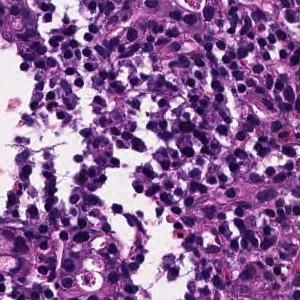
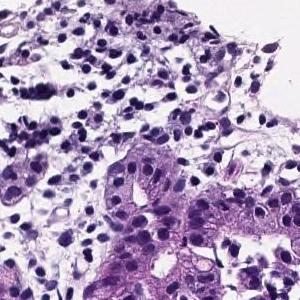
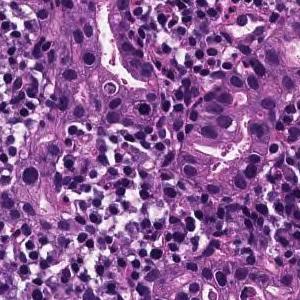
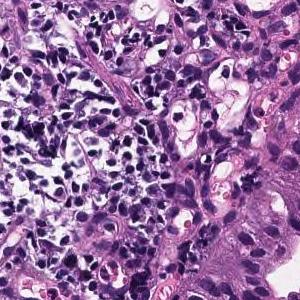
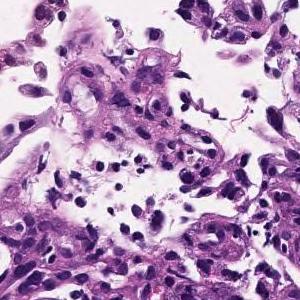
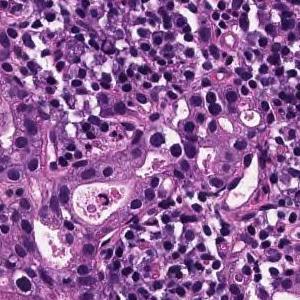
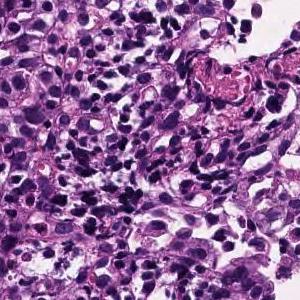
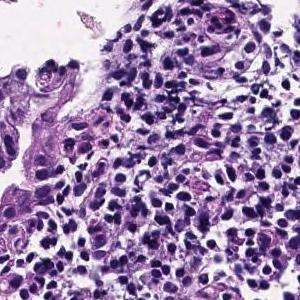
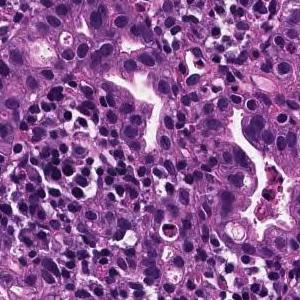
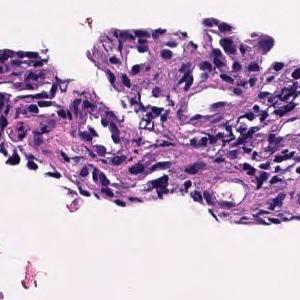
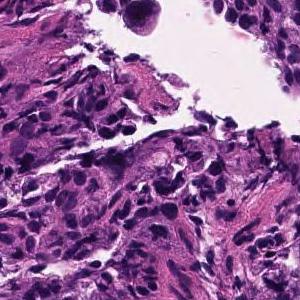
11 tiles from the same stomach biopsy slide, 300×300 px each, H&E.
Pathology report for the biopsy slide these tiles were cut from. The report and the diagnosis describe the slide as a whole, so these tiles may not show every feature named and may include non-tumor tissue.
Medium to small, irregular glandular ducts are formed in the superficial epithelium, and in some cases, the glandular ducts are fused to show solid alveolar lesions and infiltrating tumor tissue is observed. Moderately to poorly differentiated adenocarcinoma.
